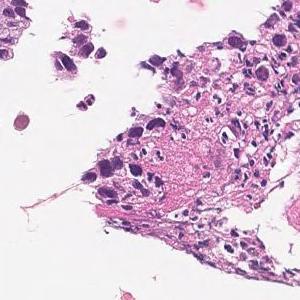
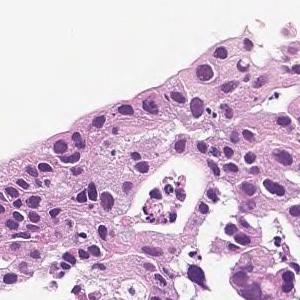
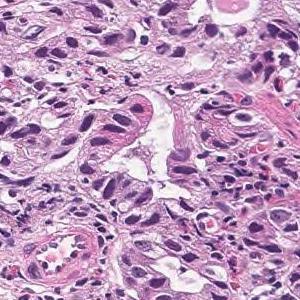
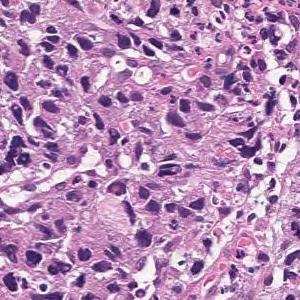
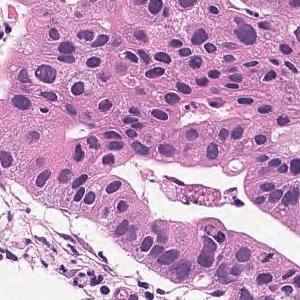
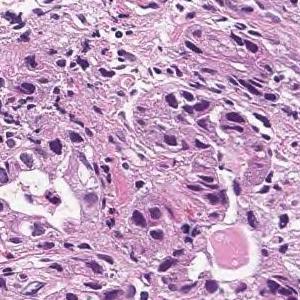
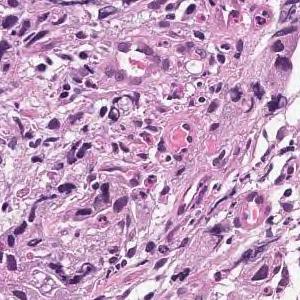
H&E stain; 7 patches cut from one gastric biopsy slide.
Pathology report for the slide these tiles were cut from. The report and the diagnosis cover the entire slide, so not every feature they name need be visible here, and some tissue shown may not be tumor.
Tumor tissue that grows by forming gland ducts from the surface layer to the submucosa is observed. moderately differentiated tubular adenocarcinoma
